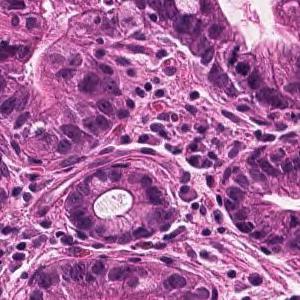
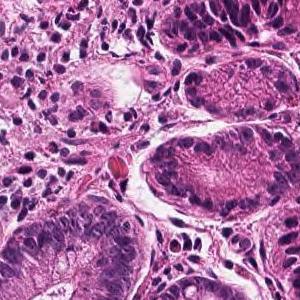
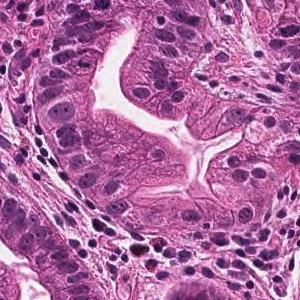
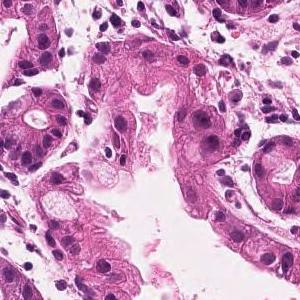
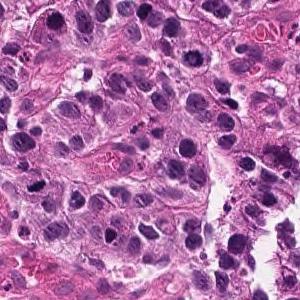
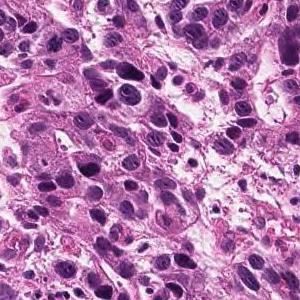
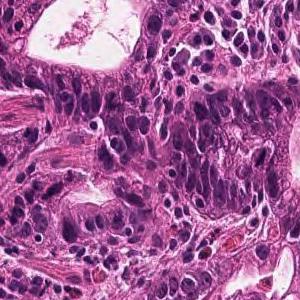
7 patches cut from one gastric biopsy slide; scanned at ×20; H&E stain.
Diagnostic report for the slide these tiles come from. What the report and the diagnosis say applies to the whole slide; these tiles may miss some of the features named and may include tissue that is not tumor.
Tumor tissue consisting of medium-sized, cord-like or irregular glandular infiltration is observed in the superficial epithelium. Poorly differentiated adenocarcinoma, non-solid type or moderately differentiated tubular adenocarcinoma
Histological subtype: Moderately to poorly differentiated adenocarcinoma.
The non-solid type named here is a Japanese Classification of Gastric Carcinoma category.
